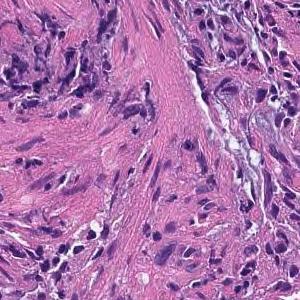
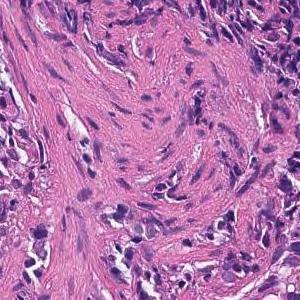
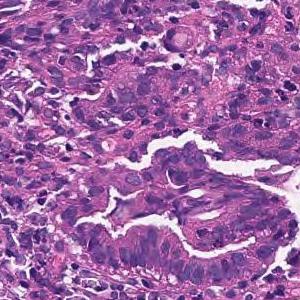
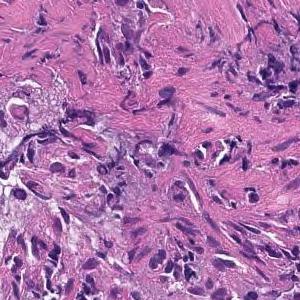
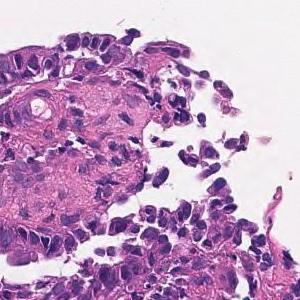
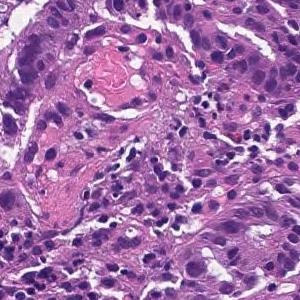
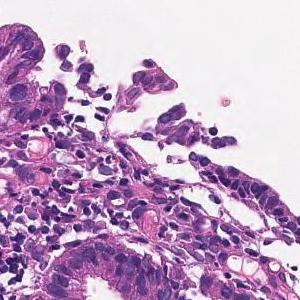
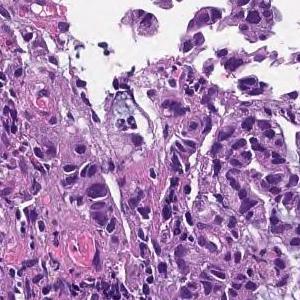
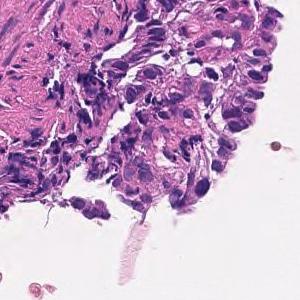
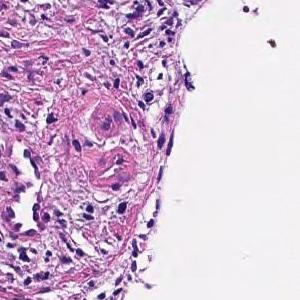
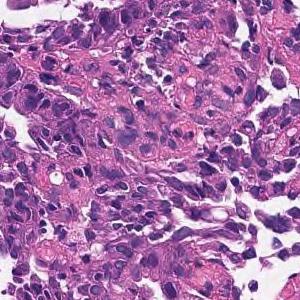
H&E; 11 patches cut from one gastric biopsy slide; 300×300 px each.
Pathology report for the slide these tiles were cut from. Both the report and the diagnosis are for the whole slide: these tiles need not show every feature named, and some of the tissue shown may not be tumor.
On the superficial epithelium, tumor tissue consisting of large, irregular glandular ducts partially fused and infiltrated is observed. Well to moderately differentiated tubular adenocarcinoma (well differentiated tubular adenocarcinoma, moderately differentiated tubular adenocarcinoma)
Histologic type: Well to moderately differentiated tubular adenocarcinoma.
